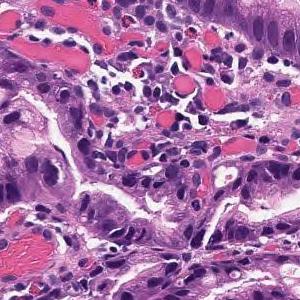
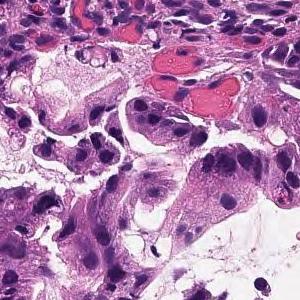
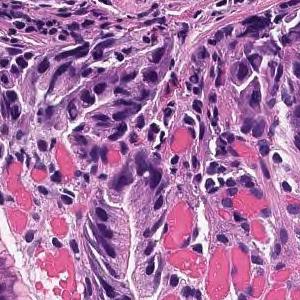
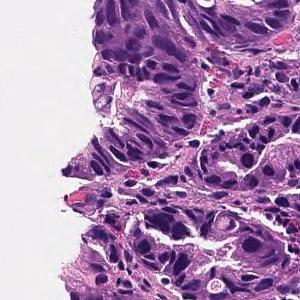
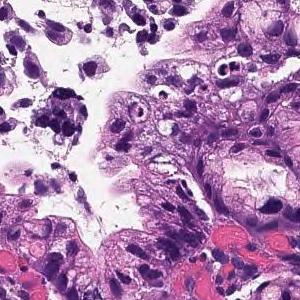
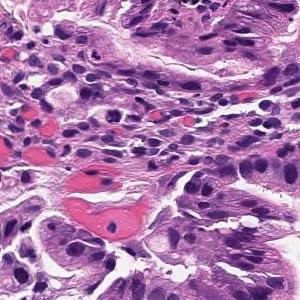
6 image tiles from a single gastric biopsy slide, each 300 × 300 pixels, hematoxylin and eosin stain.
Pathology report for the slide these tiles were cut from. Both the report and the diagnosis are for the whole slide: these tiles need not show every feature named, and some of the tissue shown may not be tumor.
In the superficial epithelium, tumor tissue that invades by forming medium-sized to small, irregular ducts is observed. moderately differentiated tubular adenocarcinoma.
